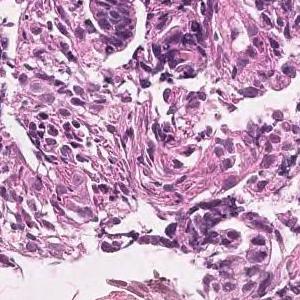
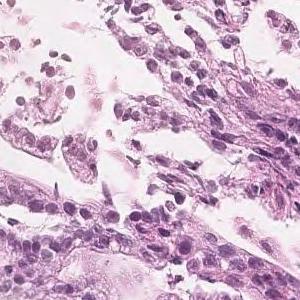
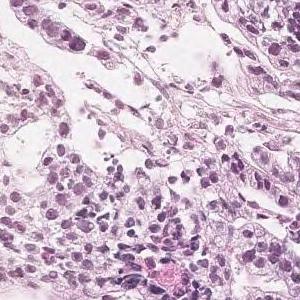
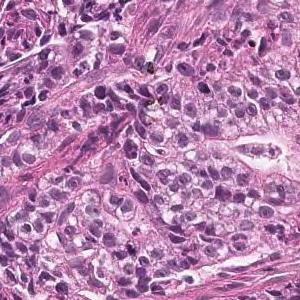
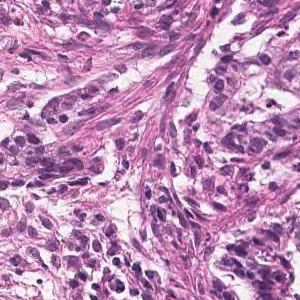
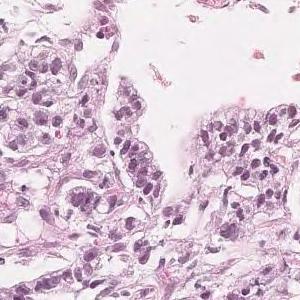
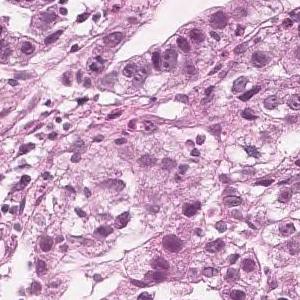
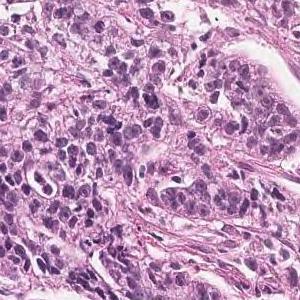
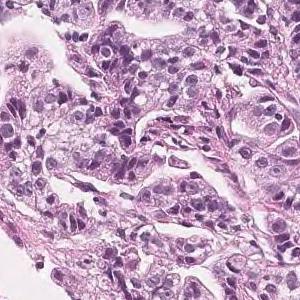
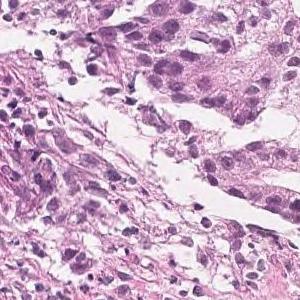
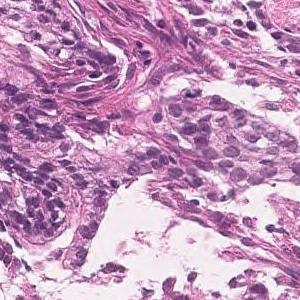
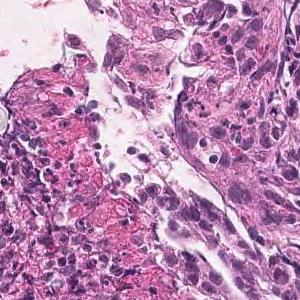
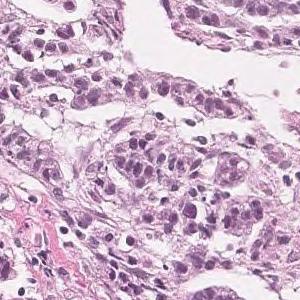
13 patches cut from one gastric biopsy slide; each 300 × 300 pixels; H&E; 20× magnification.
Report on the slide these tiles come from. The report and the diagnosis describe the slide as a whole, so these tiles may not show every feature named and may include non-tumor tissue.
Tumor tissue in which highly columnar atypical epithelial cells with nuclear enlargement and increased nuclear chromatin show papillary to papillary ductal structure and proliferate is observed. Papillary adenocarcinoma.
